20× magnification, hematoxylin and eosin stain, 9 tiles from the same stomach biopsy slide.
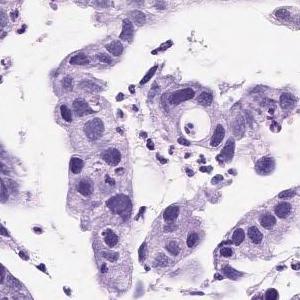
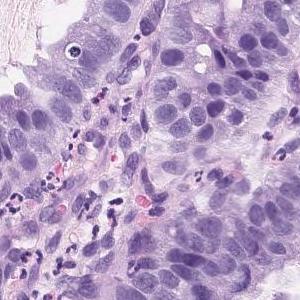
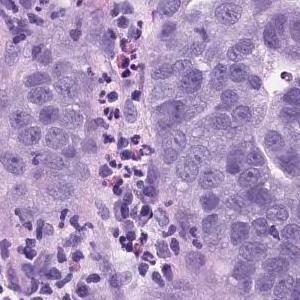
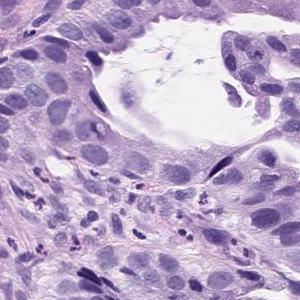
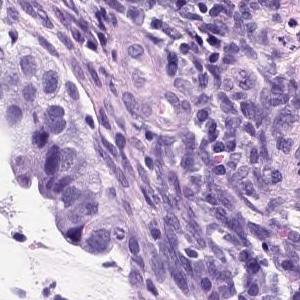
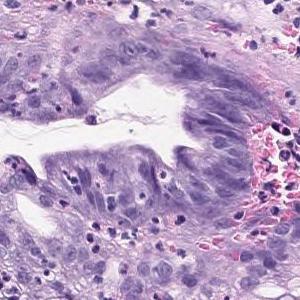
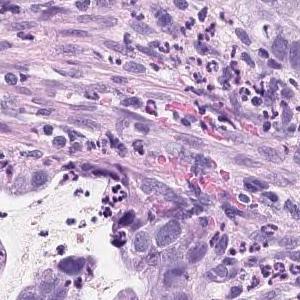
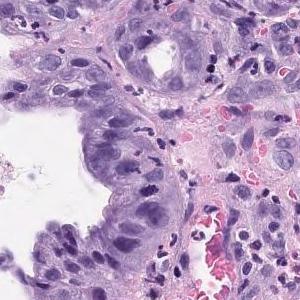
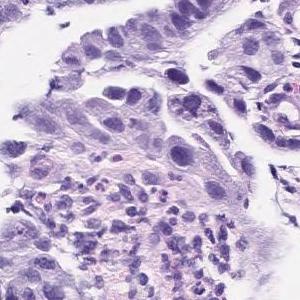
Report on the slide these tiles come from. The report and the diagnosis describe the slide as a whole, so these tiles may not show every feature named and may include non-tumor tissue.
Atypical l cells with atypical nuclei forming solid or diffuse vesicles or small irregular atypical ducts and growing in a complex manner. Well differentiated tubular adenocarcinoma
